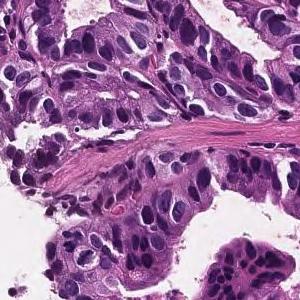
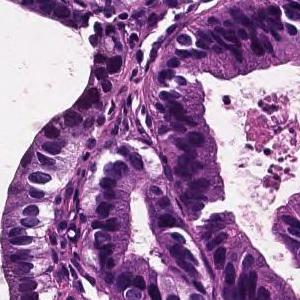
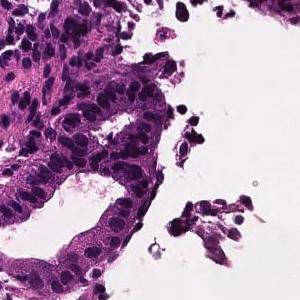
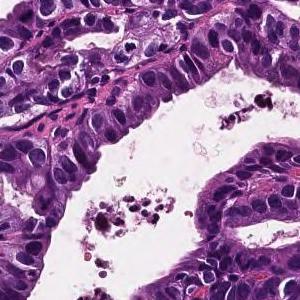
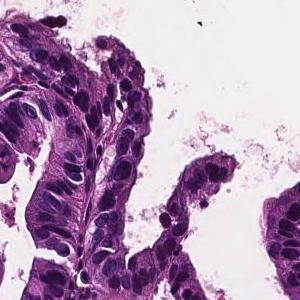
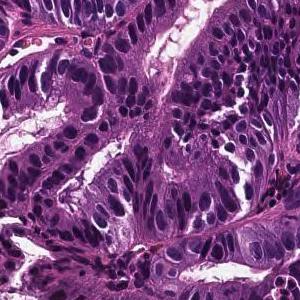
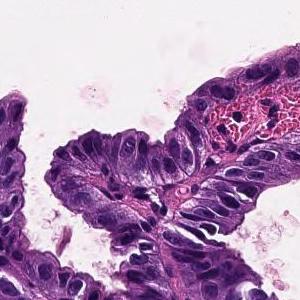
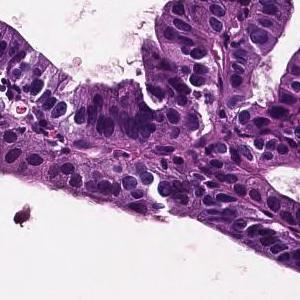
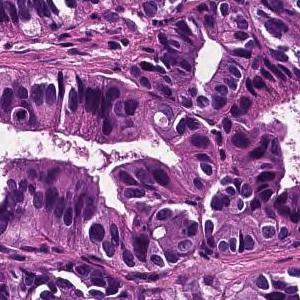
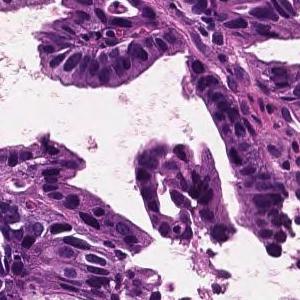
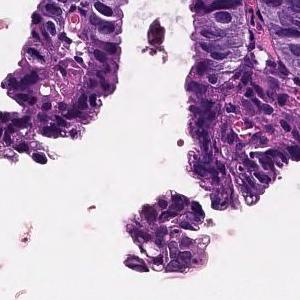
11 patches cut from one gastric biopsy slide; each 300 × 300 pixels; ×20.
The pathologist's report on the biopsy slide these tiles were taken from. The report and the diagnosis describe the slide as a whole, so these tiles may not show every feature named and may include non-tumor tissue.
From the superficial epithelium to the muscularis mucosae, tumor tissue consisting of medium-sized and irregular glandular ducts infiltrating is observed. Well differentiated tubular adenocarcinoma
